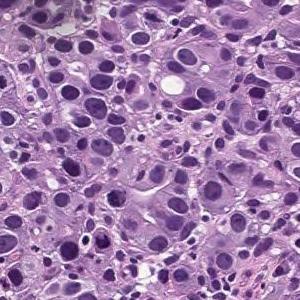
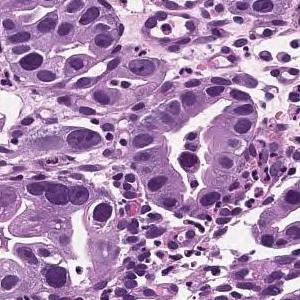
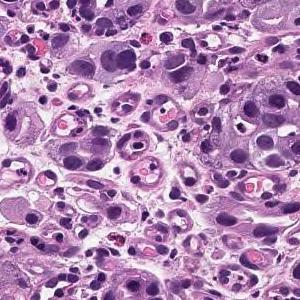
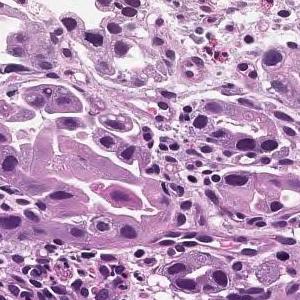
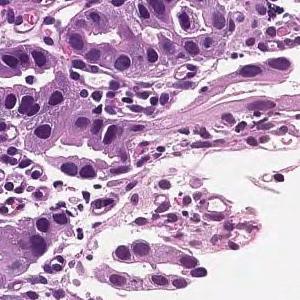
5 patches cut from one gastric biopsy slide · each 300 × 300 pixels.
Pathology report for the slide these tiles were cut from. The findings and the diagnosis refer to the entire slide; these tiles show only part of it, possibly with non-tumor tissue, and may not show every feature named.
The superficial epithelium shows a large sheet or alveolar shape, and tumor tissue infiltrating without irregular ducts is observed. Poorly differentiated adenocarcinoma, solid-type
Tumor subtype: poorly differentiated adenocarcinoma, solid type, a category of the Japanese Classification of Gastric Carcinoma; in the WHO 2019 classification it is tubular adenocarcinoma, poorly differentiated.
